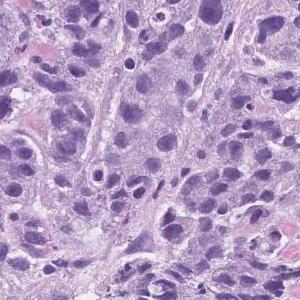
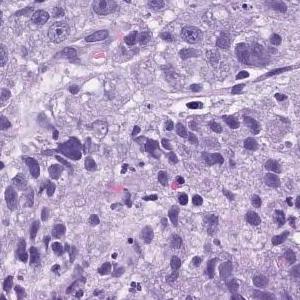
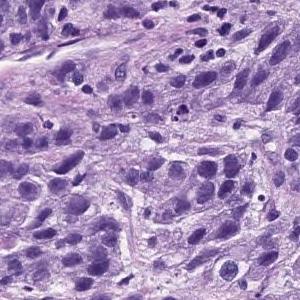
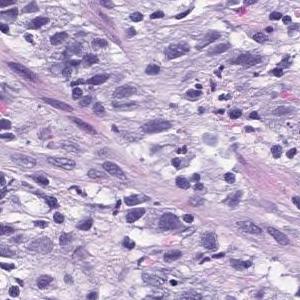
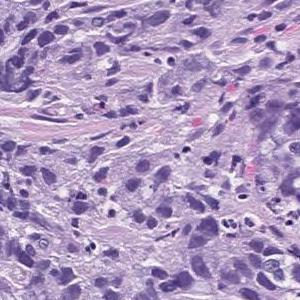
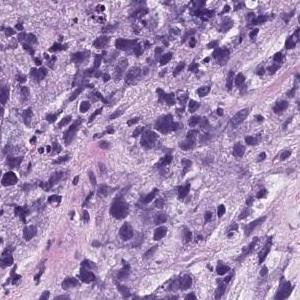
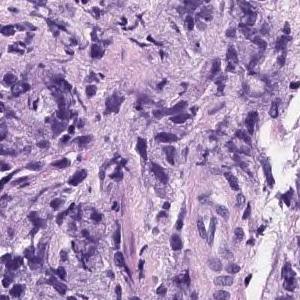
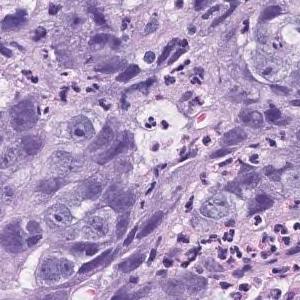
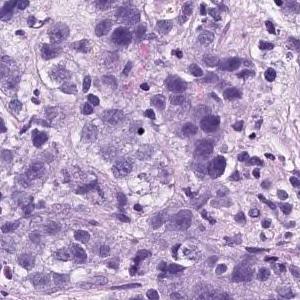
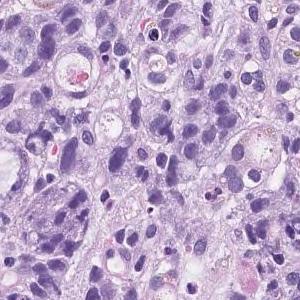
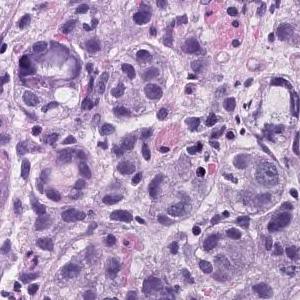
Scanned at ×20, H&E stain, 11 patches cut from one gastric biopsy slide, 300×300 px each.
Diagnostic report for the slide these tiles come from. The report describes the whole slide, diagnosis included: not every finding it names need appear in these tiles, which may also show non-tumor tissue.
Atypical l cells with atypical nuclei forming solid vesicles or small irregular atypical ducts that proliferate in a complex manner. poorly differentiated adenocarcinoma, solid type, moderately differentiated tubular adenocarcinoma
"Solid type" is a category of the Japanese Classification of Gastric Carcinoma; in the WHO 2019 classification it is tubular adenocarcinoma, poorly differentiated.
